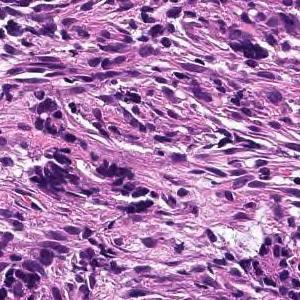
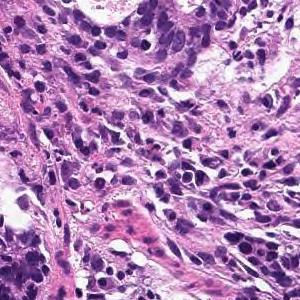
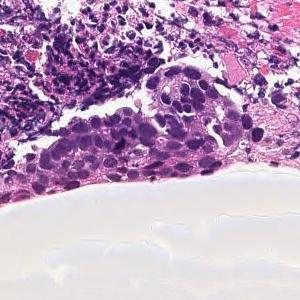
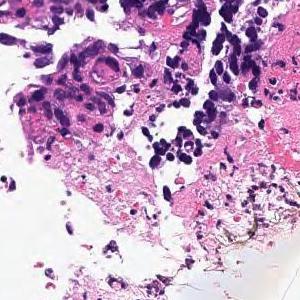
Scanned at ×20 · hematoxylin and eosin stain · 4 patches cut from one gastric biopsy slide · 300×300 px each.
Diagnostic report for the slide these tiles come from. What the report and the diagnosis say applies to the whole slide; these tiles may miss some of the features named and may include tissue that is not tumor.
Tumor tissue consisting of medium-sized, cord-like or irregular glandular infiltration is observed in the superficial epithelium. Poorly differentiated adenocarcinoma, non-solid type or moderately differentiated tubular adenocarcinoma
Histological subtype: Moderately to poorly differentiated adenocarcinoma.
The non-solid type named here is a Japanese Classification of Gastric Carcinoma category.
